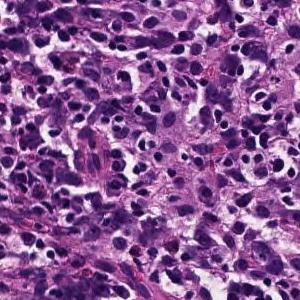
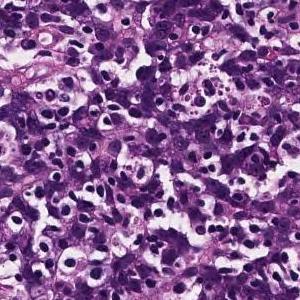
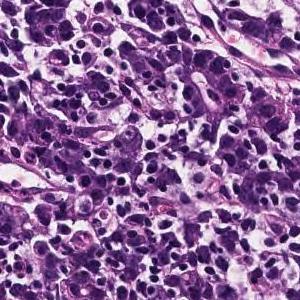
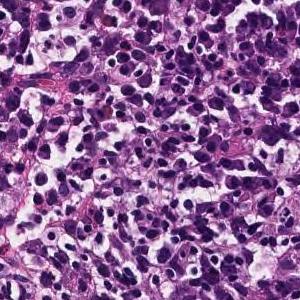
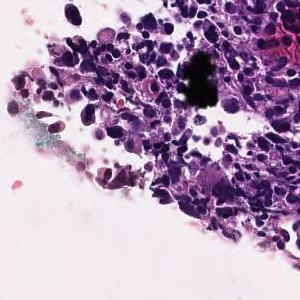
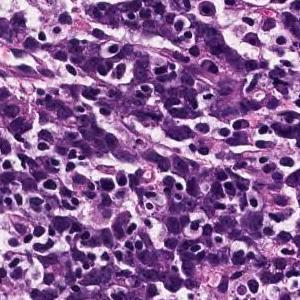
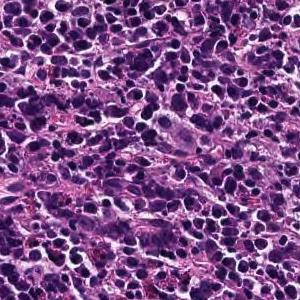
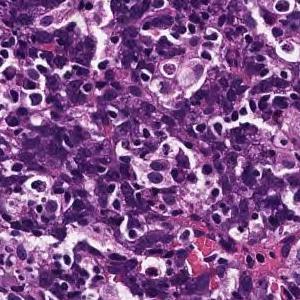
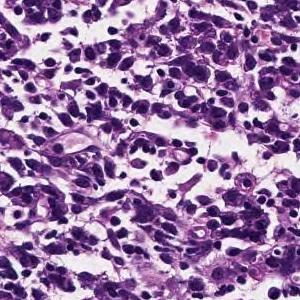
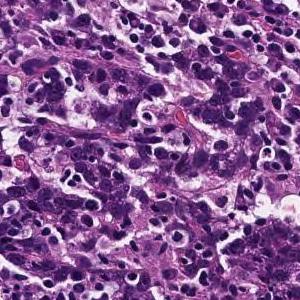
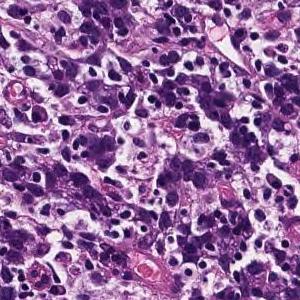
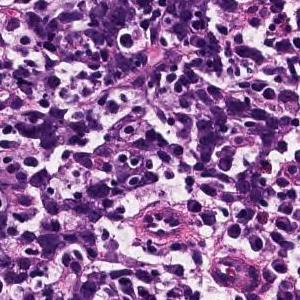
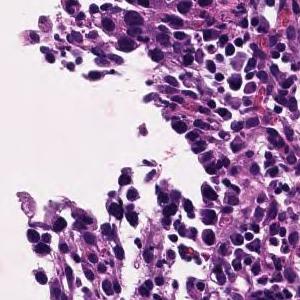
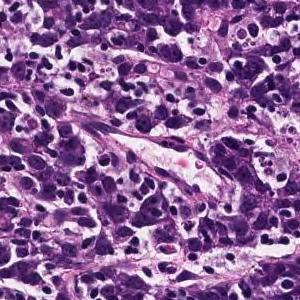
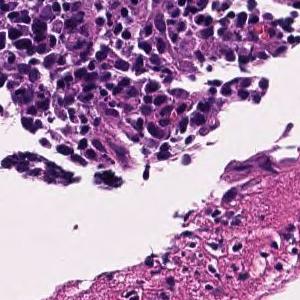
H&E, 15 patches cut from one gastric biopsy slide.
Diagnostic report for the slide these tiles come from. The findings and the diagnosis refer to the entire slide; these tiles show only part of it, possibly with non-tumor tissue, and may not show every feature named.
Tumor tissue consisting of cord-like or small, irregular glandular ducts fused and infiltrated is observed in the superficial epithelium. Poorly differentiated adenocarcinoma, non-solid type
The term "non-solid type" comes from the Japanese Classification of Gastric Carcinoma.
